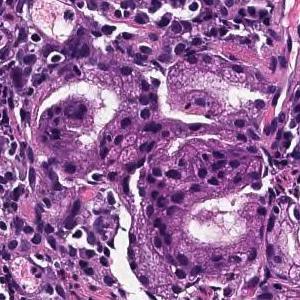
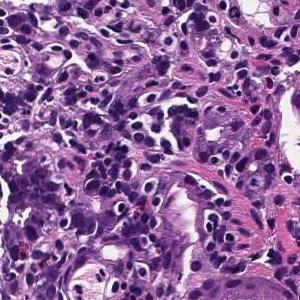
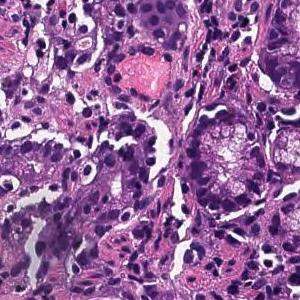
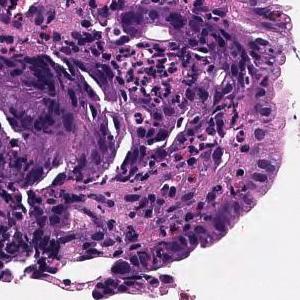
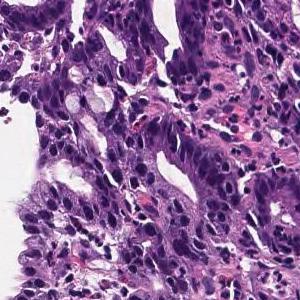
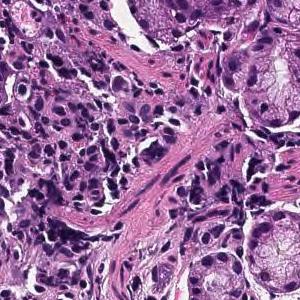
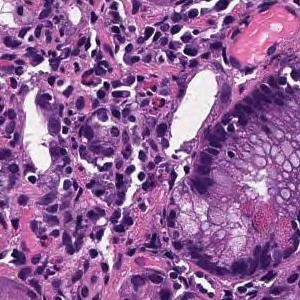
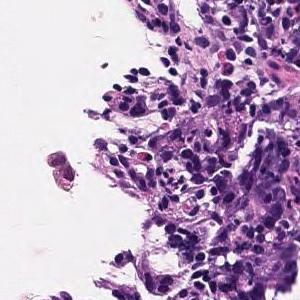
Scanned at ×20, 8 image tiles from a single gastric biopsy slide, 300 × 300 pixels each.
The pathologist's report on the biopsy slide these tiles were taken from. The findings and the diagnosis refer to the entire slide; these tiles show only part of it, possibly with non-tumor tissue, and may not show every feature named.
In the superficial epithelium, tumor tissue that invades by forming medium-sized to small, irregular ducts is observed. moderately differentiated tubular adenocarcinoma.
